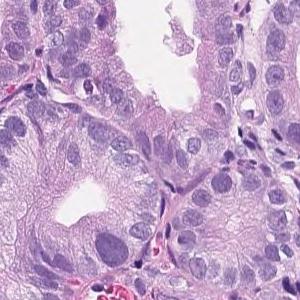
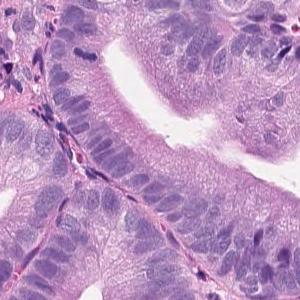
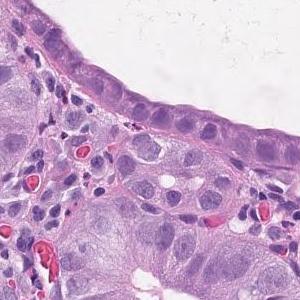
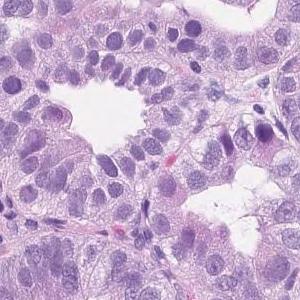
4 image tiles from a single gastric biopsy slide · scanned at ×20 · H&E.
Report on the slide these tiles come from. The report and the diagnosis describe the slide as a whole, so these tiles may not show every feature named and may include non-tumor tissue.
Tumor tissue consisting of medium-sized and irregular ducts is observed infiltrating in the superficial epithelium. Tumor cells are highly columnar, with nuclei aligned basolaterally and polarized. Well differentiated tubular adenocarcinoma.
